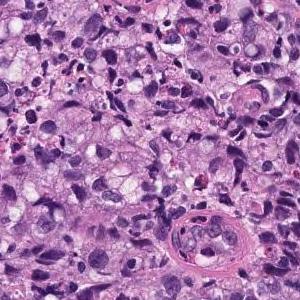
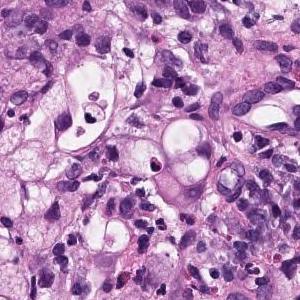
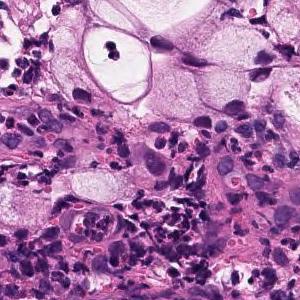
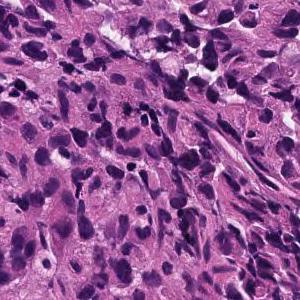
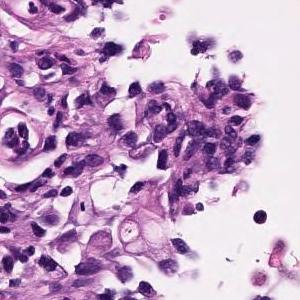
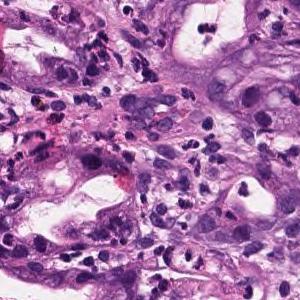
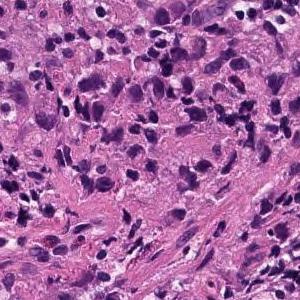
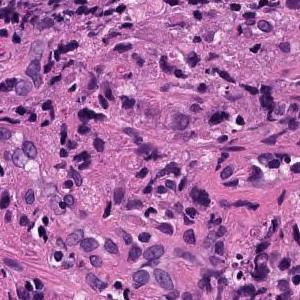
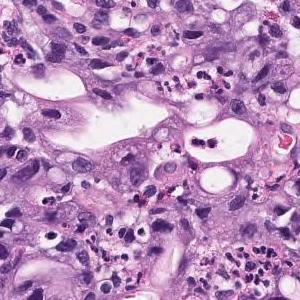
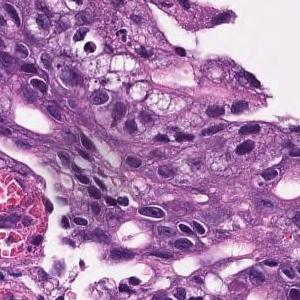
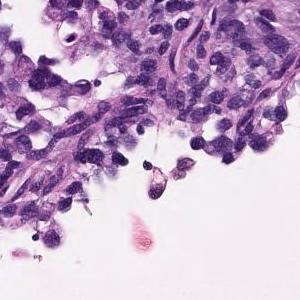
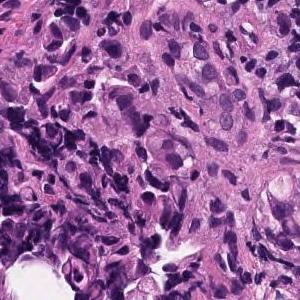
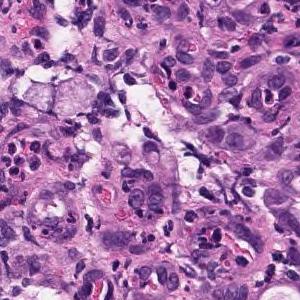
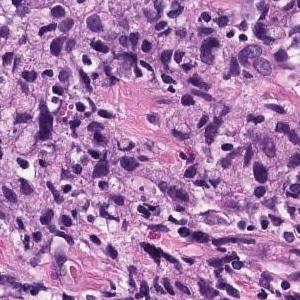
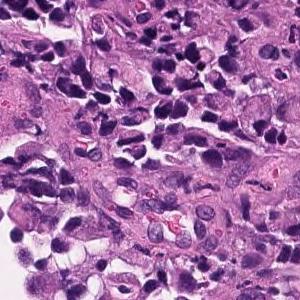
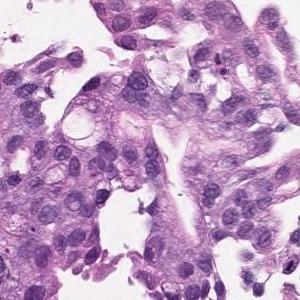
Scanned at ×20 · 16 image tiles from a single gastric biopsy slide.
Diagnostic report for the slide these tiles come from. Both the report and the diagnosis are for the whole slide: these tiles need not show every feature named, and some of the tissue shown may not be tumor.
Atypical epithelium forms irregularly fused gland ducts and proliferates. Poorly differentiated adenocarcinoma.
Tumor subtype: poorly differentiated adenocarcinoma, non-solid type.
The term "non-solid type" comes from the Japanese Classification of Gastric Carcinoma.
